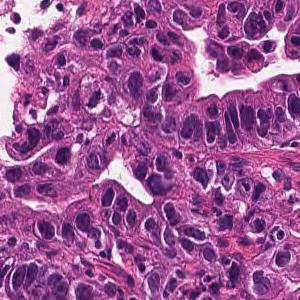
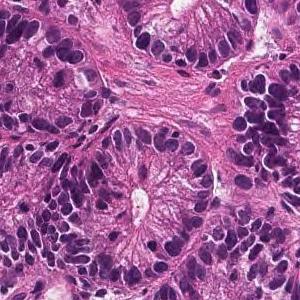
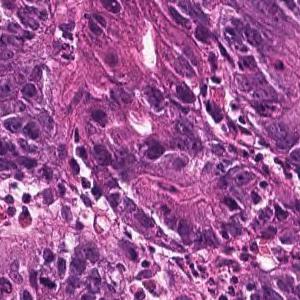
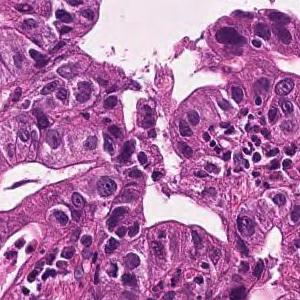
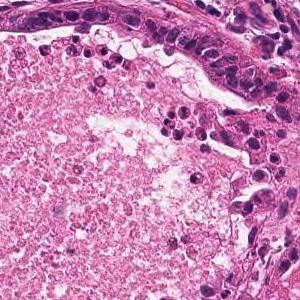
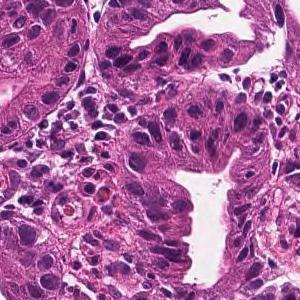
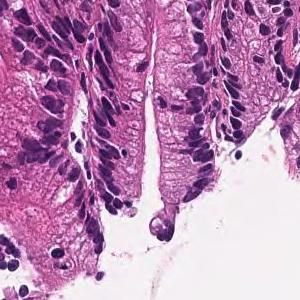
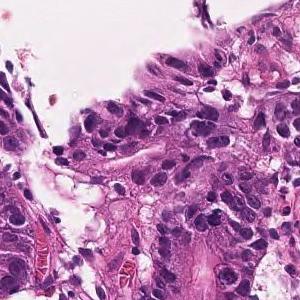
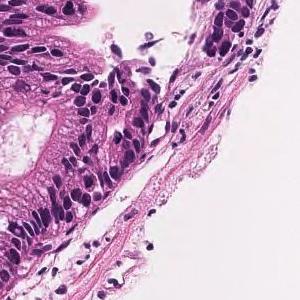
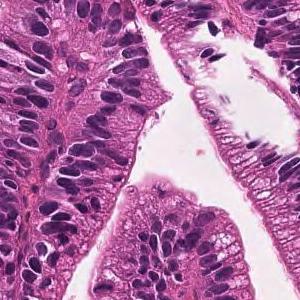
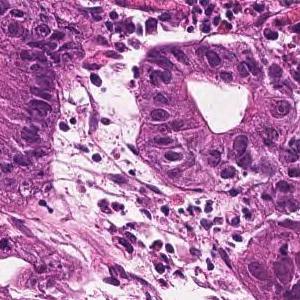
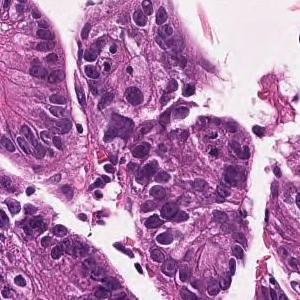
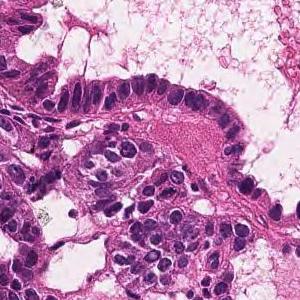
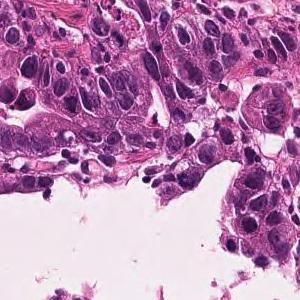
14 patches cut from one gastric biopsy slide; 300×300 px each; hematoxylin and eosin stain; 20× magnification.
Pathology report for the biopsy slide these tiles were cut from. The findings and the diagnosis refer to the entire slide; these tiles show only part of it, possibly with non-tumor tissue, and may not show every feature named.
In the superficial epithelium, tumor tissue that invades by forming medium-sized to small, irregular ducts is observed. moderately differentiated tubular adenocarcinoma.
